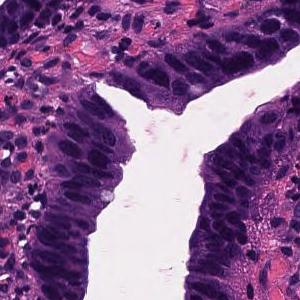
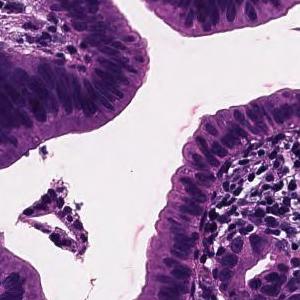
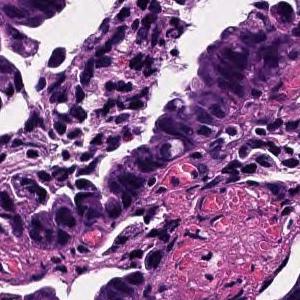
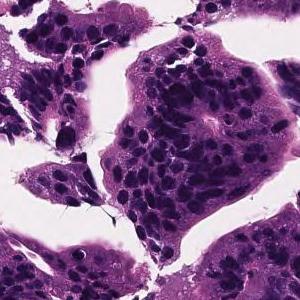
4 tiles cut from one stomach biopsy slide · 300 × 300 pixels each · hematoxylin and eosin stain.
Pathology report for the biopsy slide these tiles were cut from. What the report and the diagnosis say applies to the whole slide; these tiles may miss some of the features named and may include tissue that is not tumor.
Tumor cells are large, highly columnar, large club-shaped nuclei, and are associated with chromatin aggregation. Papillary adenocarcinoma.
